11 tiles cut from one stomach biopsy slide · 20× magnification.
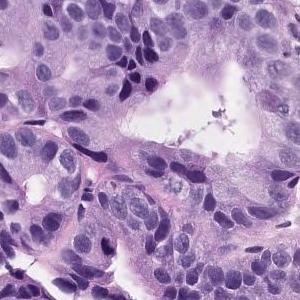
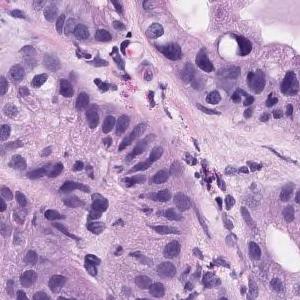
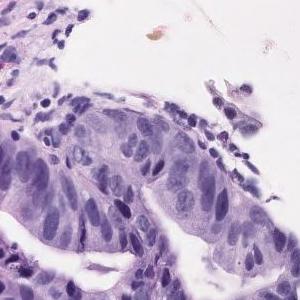
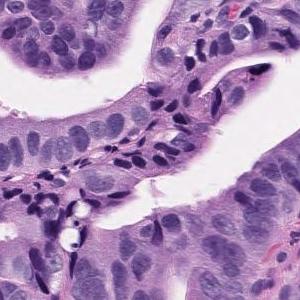
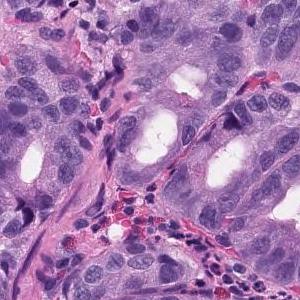
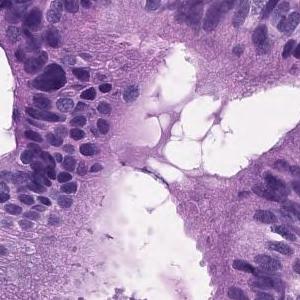
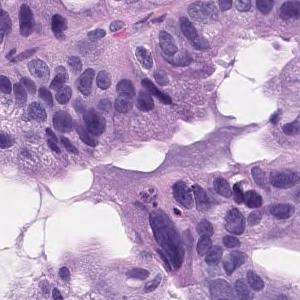
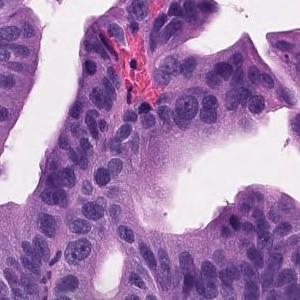
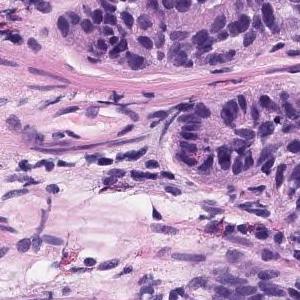
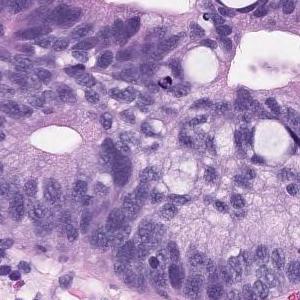
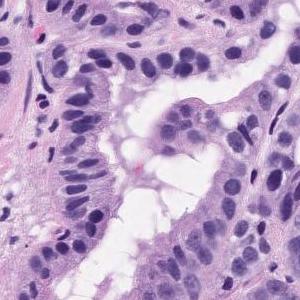
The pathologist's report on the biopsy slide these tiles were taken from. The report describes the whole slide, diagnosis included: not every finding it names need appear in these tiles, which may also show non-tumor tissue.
Tumor tissue consisting of medium-sized and irregular ducts is observed infiltrating in the superficial epithelium. Tumor cells are highly columnar, with nuclei aligned basolaterally and polarized. Well differentiated tubular adenocarcinoma.
